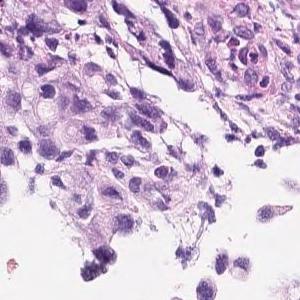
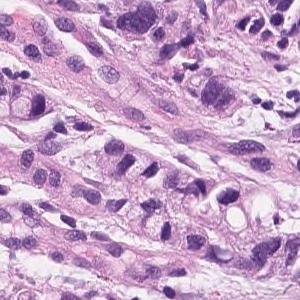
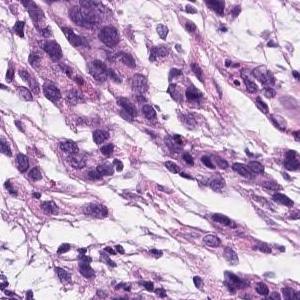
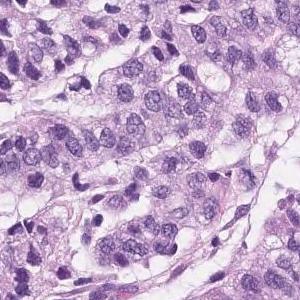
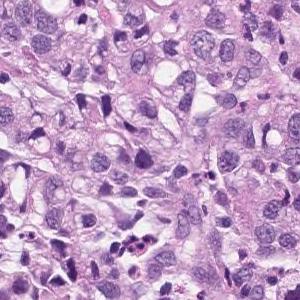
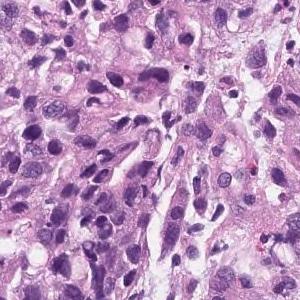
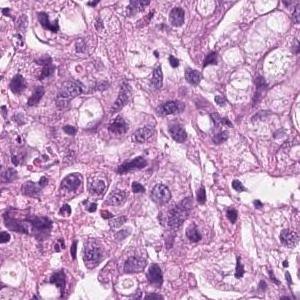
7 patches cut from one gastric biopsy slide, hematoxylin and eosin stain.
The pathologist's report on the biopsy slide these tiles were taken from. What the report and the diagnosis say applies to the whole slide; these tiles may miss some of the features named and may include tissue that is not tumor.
Group 5, Adenocarcinoma. Poorly differentiated adenocarcinoma, non-solid type
"Non-solid type" is a category of the Japanese Classification of Gastric Carcinoma.
